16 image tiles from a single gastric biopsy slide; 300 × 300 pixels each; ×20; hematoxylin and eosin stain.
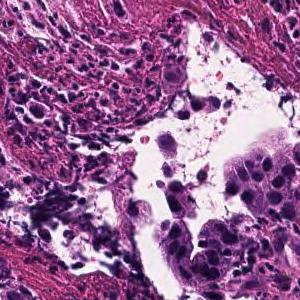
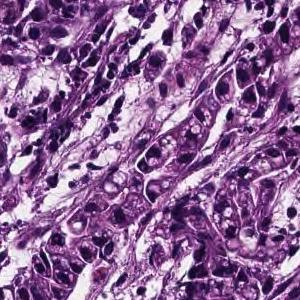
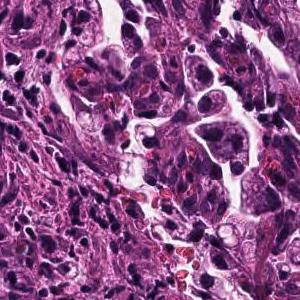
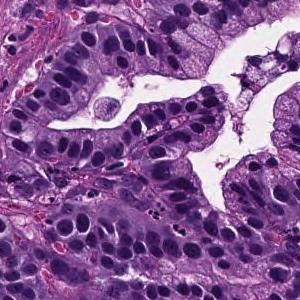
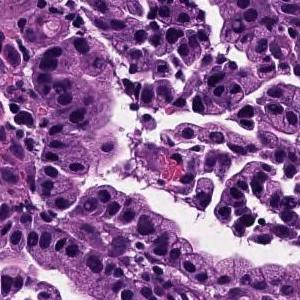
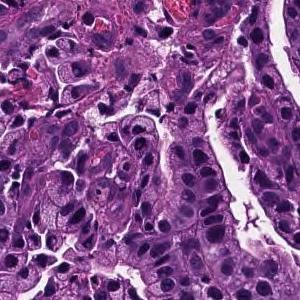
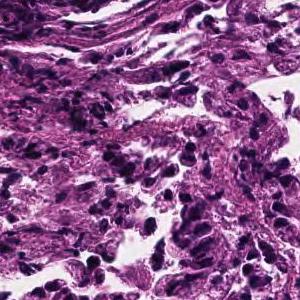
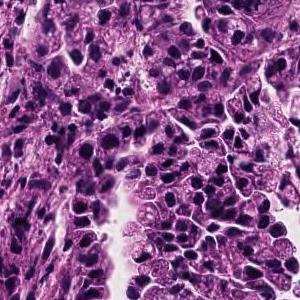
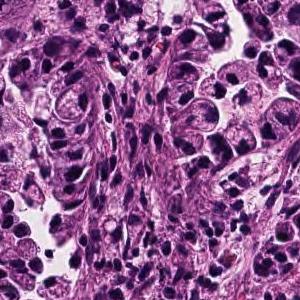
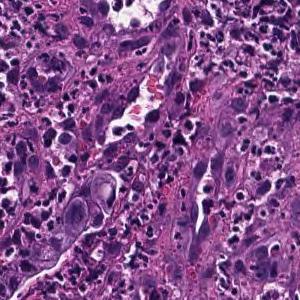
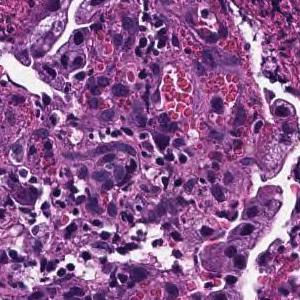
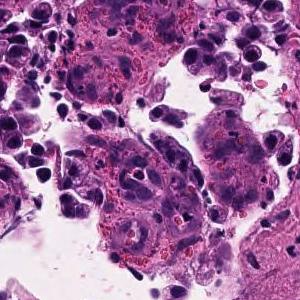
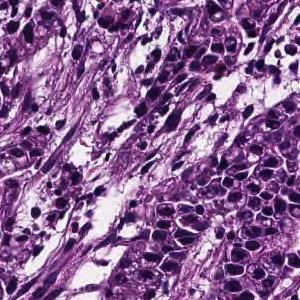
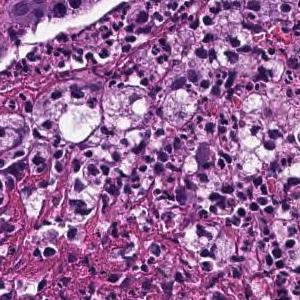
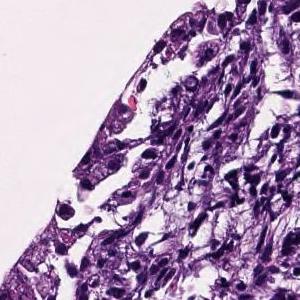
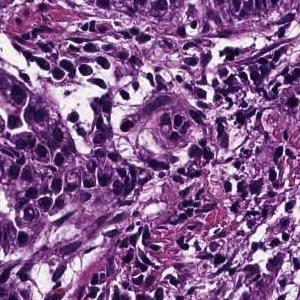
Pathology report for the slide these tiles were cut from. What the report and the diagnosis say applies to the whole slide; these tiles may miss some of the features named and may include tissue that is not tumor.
Tumor cells are large, highly columnar, large club-shaped nuclei, and are associated with chromatin aggregation. Papillary adenocarcinoma.
